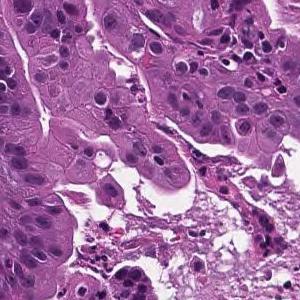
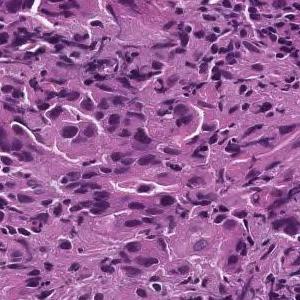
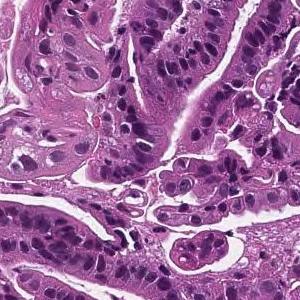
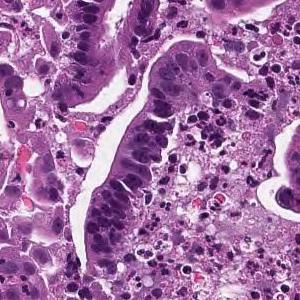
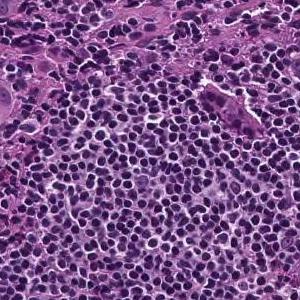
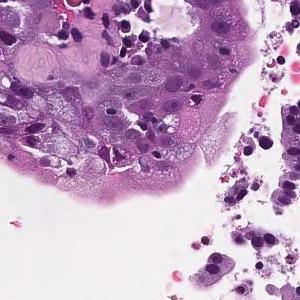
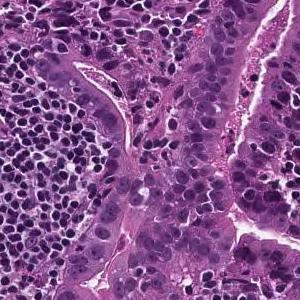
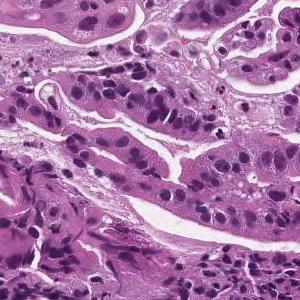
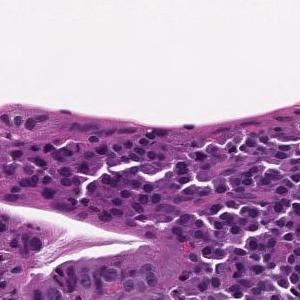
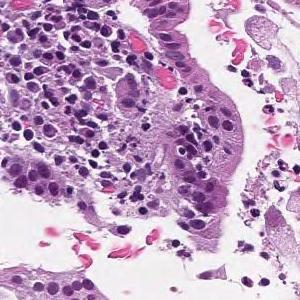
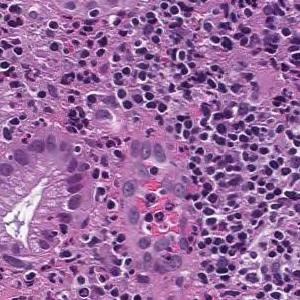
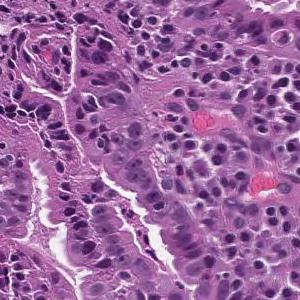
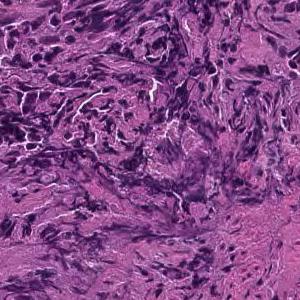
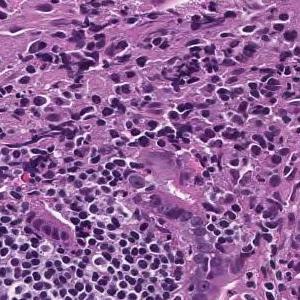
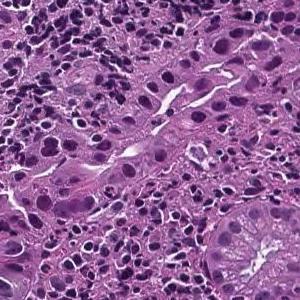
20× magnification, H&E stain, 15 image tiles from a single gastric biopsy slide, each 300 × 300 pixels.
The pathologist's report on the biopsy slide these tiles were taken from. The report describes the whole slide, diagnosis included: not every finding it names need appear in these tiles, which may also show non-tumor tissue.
From the superficial epithelium to the muscularis mucosae, tumor tissue consisting of medium-sized and irregular glandular ducts infiltrating is observed. Well differentiated tubular adenocarcinoma
